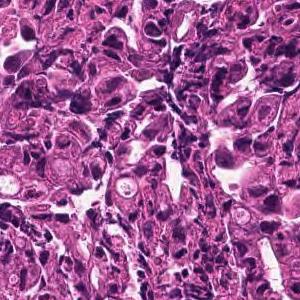
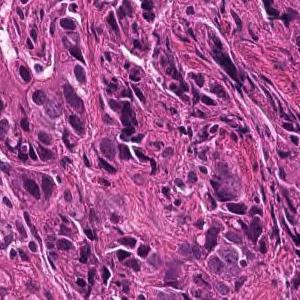
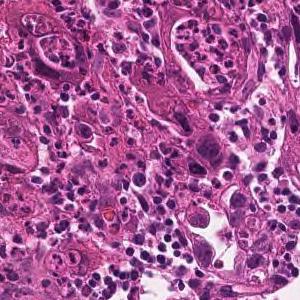
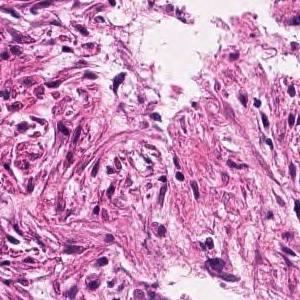
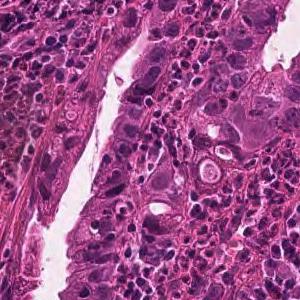
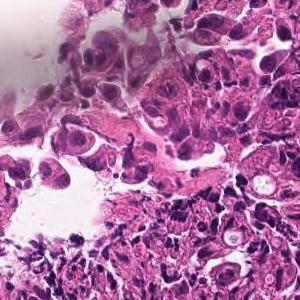
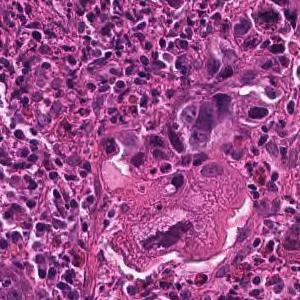
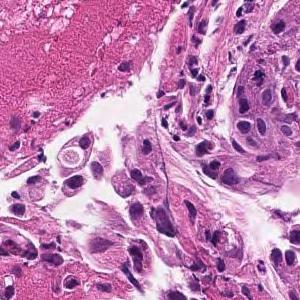
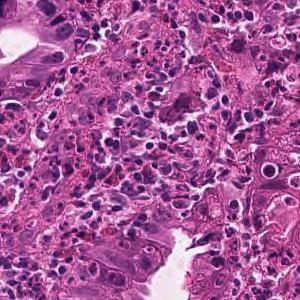
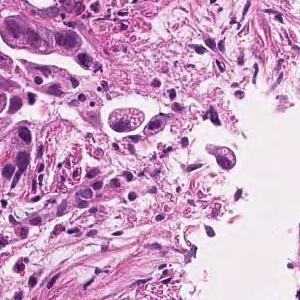
20× magnification, hematoxylin and eosin stain, 10 tiles cut from one stomach biopsy slide, 300 × 300 pixels each.
Pathology report for the slide these tiles were cut from. The report and the diagnosis describe the slide as a whole, so these tiles may not show every feature named and may include non-tumor tissue.
Medium to small, irregular glandular ducts are formed in the superficial epithelium, and in some cases, the glandular ducts are fused to show solid alveolar lesions and infiltrating tumor tissue is observed. Moderately to poorly differentiated adenocarcinoma.
